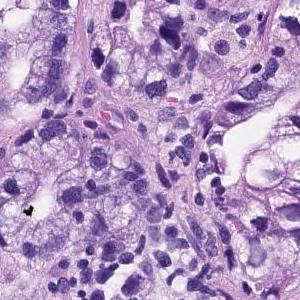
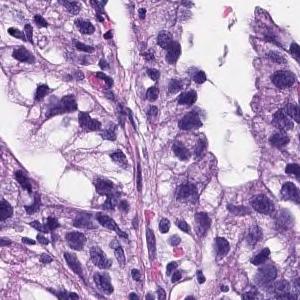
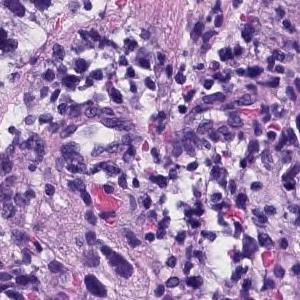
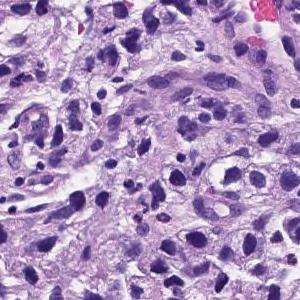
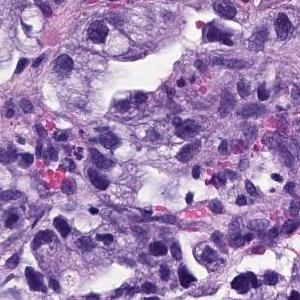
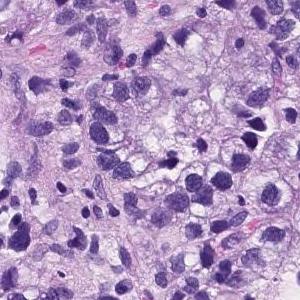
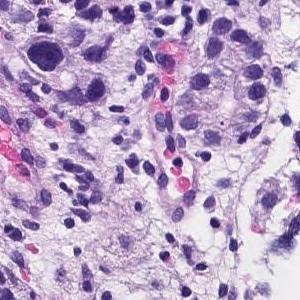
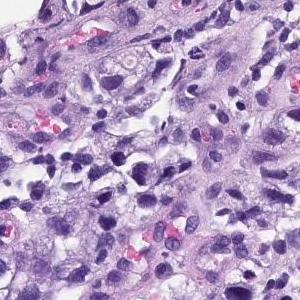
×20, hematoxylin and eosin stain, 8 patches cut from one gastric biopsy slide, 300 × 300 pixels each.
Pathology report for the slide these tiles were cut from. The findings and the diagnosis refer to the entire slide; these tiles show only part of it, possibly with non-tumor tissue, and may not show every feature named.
Medium to small, irregular glandular ducts are formed in the superficial epithelium, and in some cases, the glandular ducts are fused to show solid alveolar lesions and infiltrating tumor tissue is observed. Poorly differentiated adenocarcinoma, Moderately differentiated adenocarcinoma.
Labeled in the dataset as moderately differentiated tubular adenocarcinoma.
